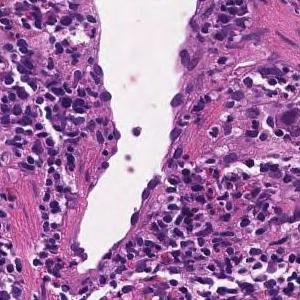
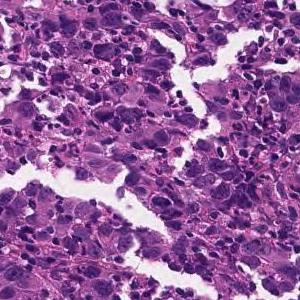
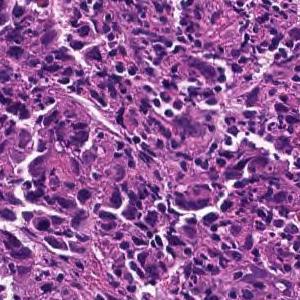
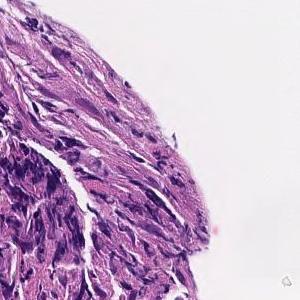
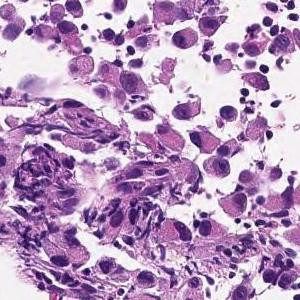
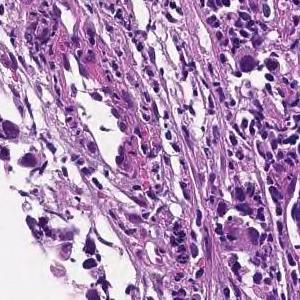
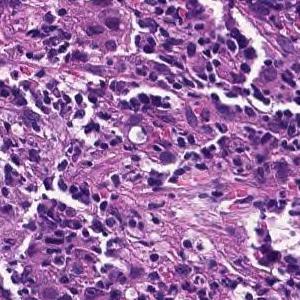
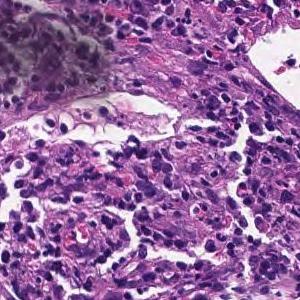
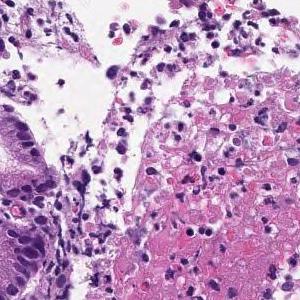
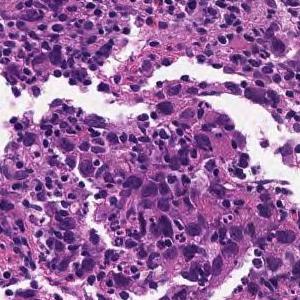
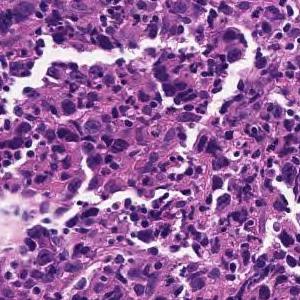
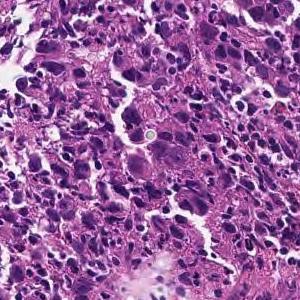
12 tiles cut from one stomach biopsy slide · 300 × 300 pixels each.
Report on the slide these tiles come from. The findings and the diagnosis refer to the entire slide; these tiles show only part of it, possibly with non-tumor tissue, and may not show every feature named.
The superficial epithelium shows a large sheet-like shape, and some tumor tissue infiltrates with small irregular ducts. Poorly differentiated adenocarcinoma, solid-type (poorly differentiated adenocarcinoma, solid type)
Tumor subtype: poorly differentiated adenocarcinoma, solid type, a category of the Japanese Classification of Gastric Carcinoma; in the WHO 2019 classification it is tubular adenocarcinoma, poorly differentiated.
